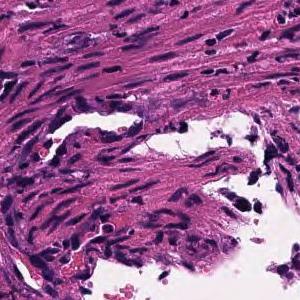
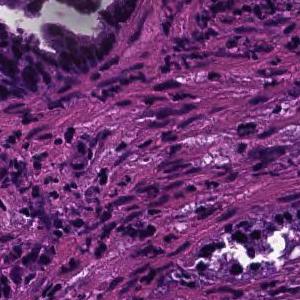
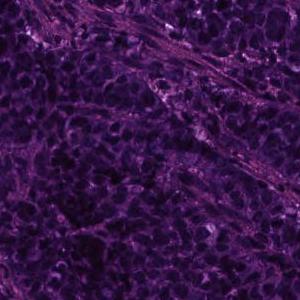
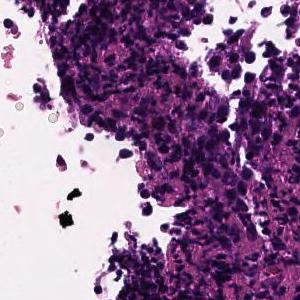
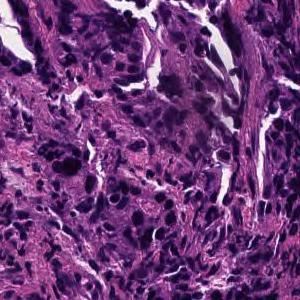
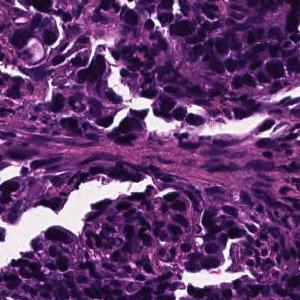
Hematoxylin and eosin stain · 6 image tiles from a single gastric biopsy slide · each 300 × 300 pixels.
The pathologist's report on the biopsy slide these tiles were taken from. What the report and the diagnosis say applies to the whole slide; these tiles may miss some of the features named and may include tissue that is not tumor.
In the superficial epithelium, tumor tissue that invades by forming medium-sized to small, irregular ducts is observed. moderately differentiated tubular adenocarcinoma.
